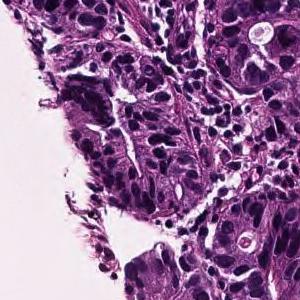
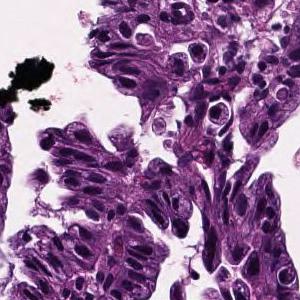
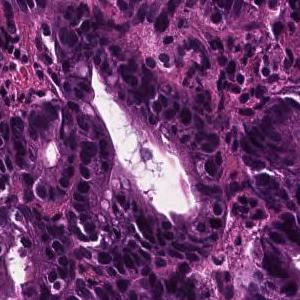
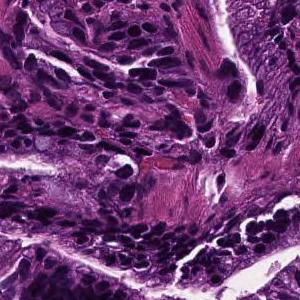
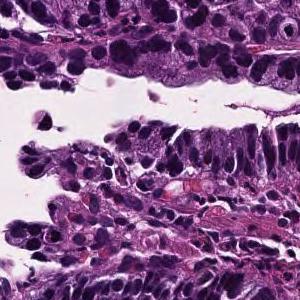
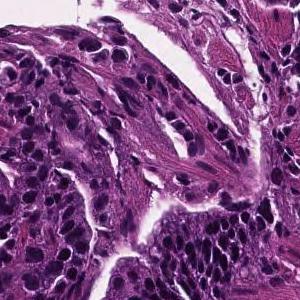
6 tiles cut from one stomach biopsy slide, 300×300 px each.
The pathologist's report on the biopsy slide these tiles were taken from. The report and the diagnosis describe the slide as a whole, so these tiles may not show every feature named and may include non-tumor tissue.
In the superficial epithelium, tumor tissue that invades by forming medium-sized to small, irregular ducts is observed. Well differentiated tubular adenocarcinoma.
